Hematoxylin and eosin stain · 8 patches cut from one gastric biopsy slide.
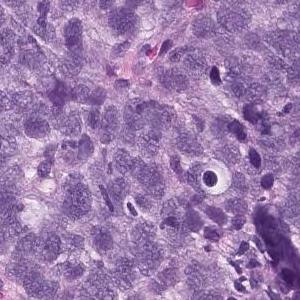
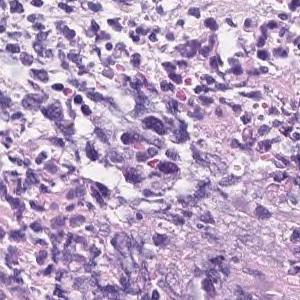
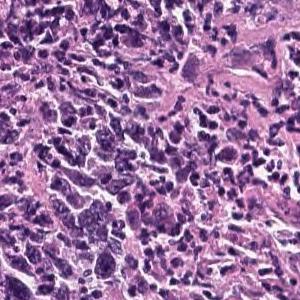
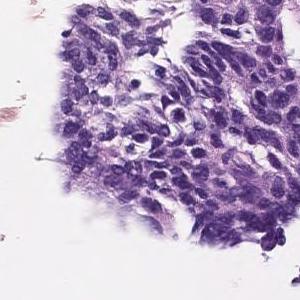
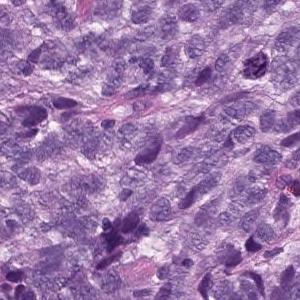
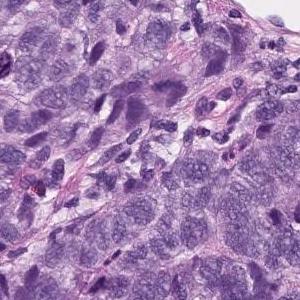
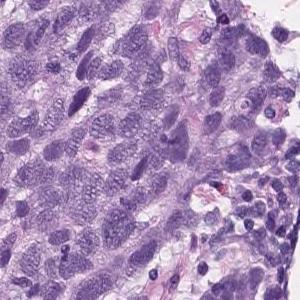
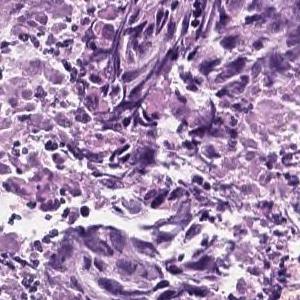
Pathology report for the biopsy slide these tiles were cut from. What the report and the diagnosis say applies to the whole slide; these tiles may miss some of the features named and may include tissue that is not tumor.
Epithelial cells with swollen nuclei with atypia invasively proliferating while forming vesicles is observed. Poorly differentiated adenocarcinoma
Tumor subtype: poorly differentiated adenocarcinoma, solid type. This name comes from the Japanese Classification of Gastric Carcinoma; the WHO 2019 classification calls it tubular adenocarcinoma, poorly differentiated.
